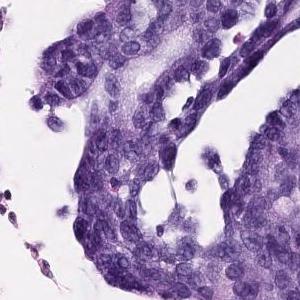
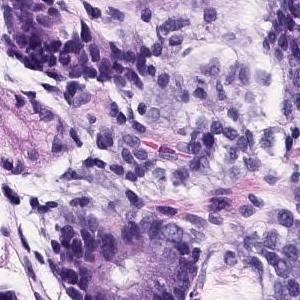
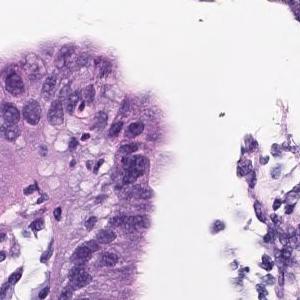
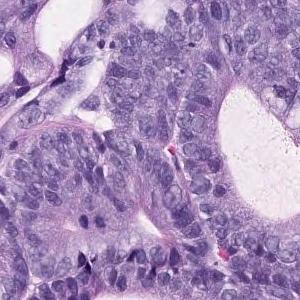
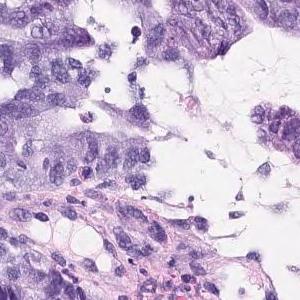
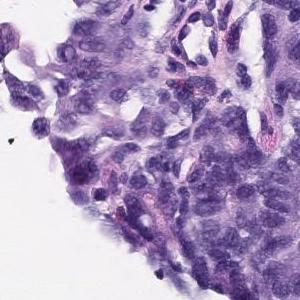
×20, H&E, 6 tiles from the same stomach biopsy slide, 300 × 300 pixels each.
Pathology report for the slide these tiles were cut from. The report and the diagnosis describe the slide as a whole, so these tiles may not show every feature named and may include non-tumor tissue.
In the superficial epithelium, tumor tissue that invades by forming medium-sized to small, irregular ducts is observed. Well to moderately differentiated tubular adenocarcinoma.
